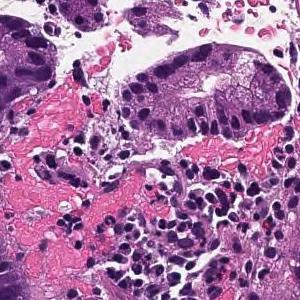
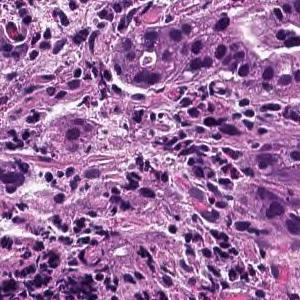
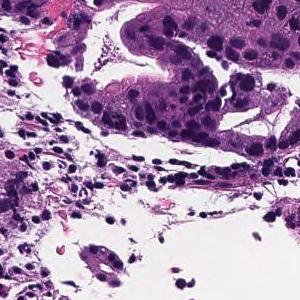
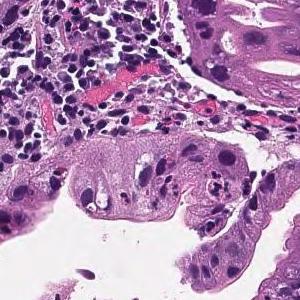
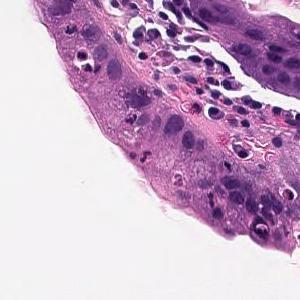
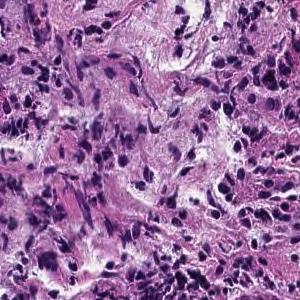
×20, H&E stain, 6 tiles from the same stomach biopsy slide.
Diagnostic report for the slide these tiles come from. The report and the diagnosis cover the entire slide, so not every feature they name need be visible here, and some tissue shown may not be tumor.
From the superficial epithelium to the muscularis mucosae, tumor tissue consisting of medium-sized and irregular glandular ducts infiltrating is observed. Well differentiated tubular adenocarcinoma
